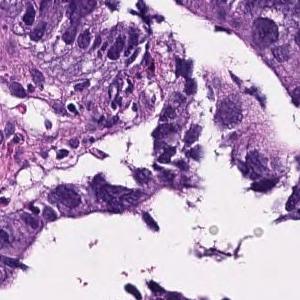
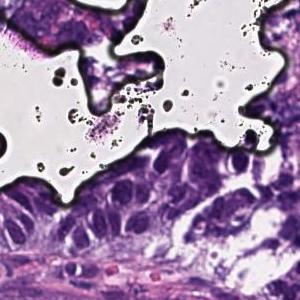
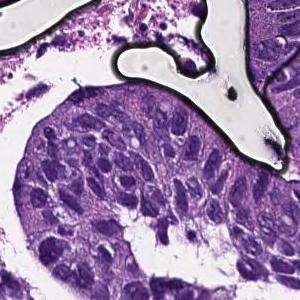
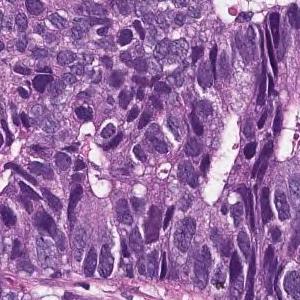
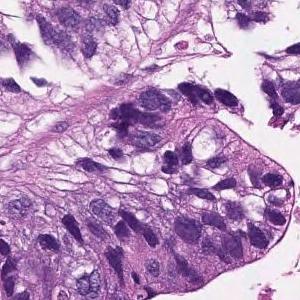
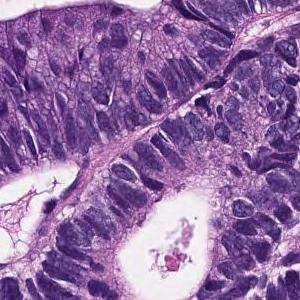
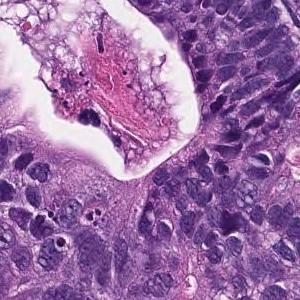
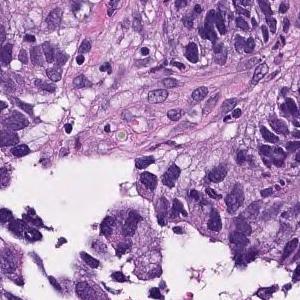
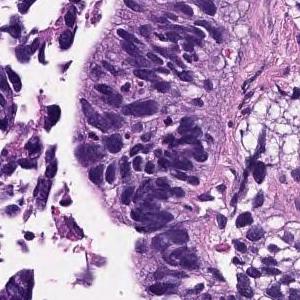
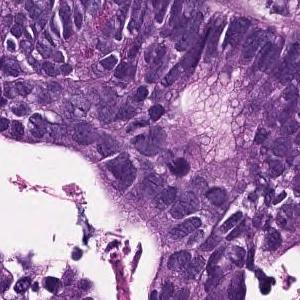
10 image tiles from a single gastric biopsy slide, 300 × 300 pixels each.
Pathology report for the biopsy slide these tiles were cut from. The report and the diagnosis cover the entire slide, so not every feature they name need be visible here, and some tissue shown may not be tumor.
In the superficial epithelium, tumor tissue that invades by forming medium-sized to small, irregular ducts is observed. moderately differentiated tubular adenocarcinoma.
